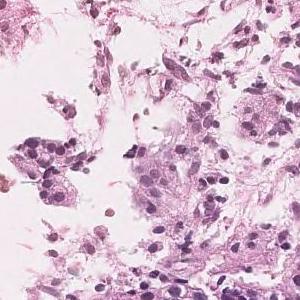
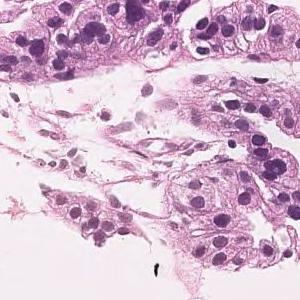
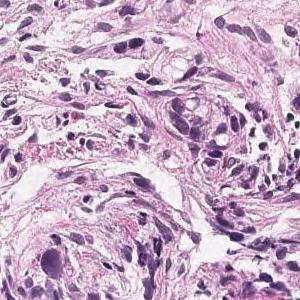
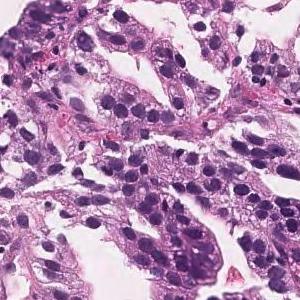
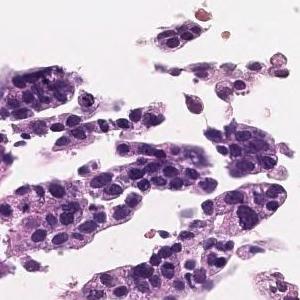
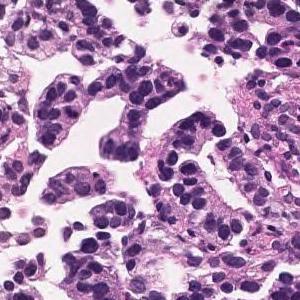
H&E; 6 tiles from the same stomach biopsy slide; each 300 × 300 pixels.
Pathology report for the biopsy slide these tiles were cut from. The report describes the whole slide, diagnosis included: not every finding it names need appear in these tiles, which may also show non-tumor tissue.
In the superficial epithelium, tumor tissue that invades by forming medium-sized to small, irregular ducts is observed. moderately differentiated tubular adenocarcinoma.
